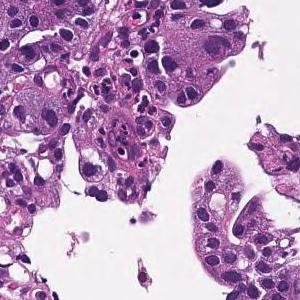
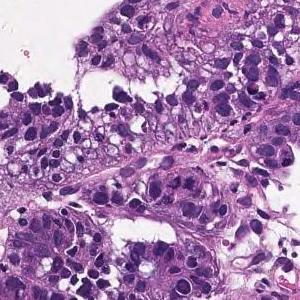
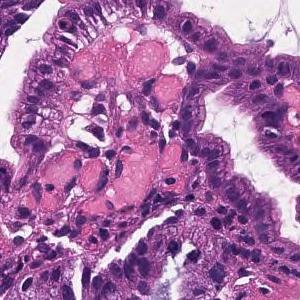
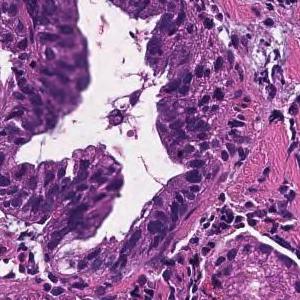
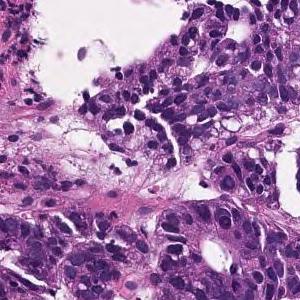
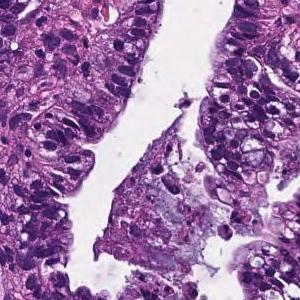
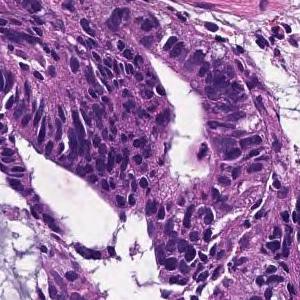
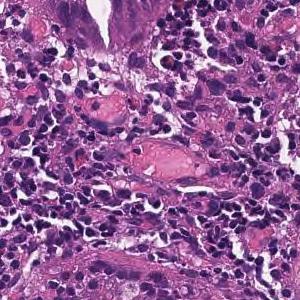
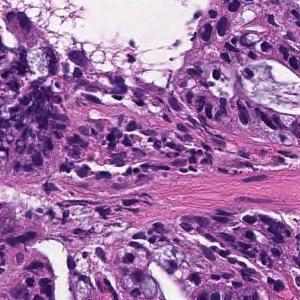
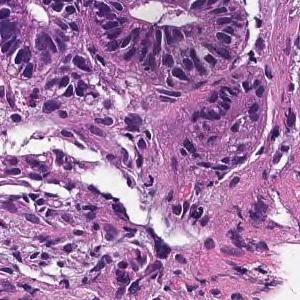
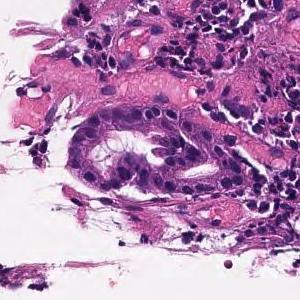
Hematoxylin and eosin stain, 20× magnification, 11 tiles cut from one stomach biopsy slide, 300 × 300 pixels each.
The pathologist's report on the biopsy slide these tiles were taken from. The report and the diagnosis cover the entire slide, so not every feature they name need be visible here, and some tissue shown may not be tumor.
From the superficial epithelium to the muscularis mucosae, tumor tissue consisting of medium-sized and irregular glandular ducts infiltrating is observed. Well differentiated tubular adenocarcinoma
